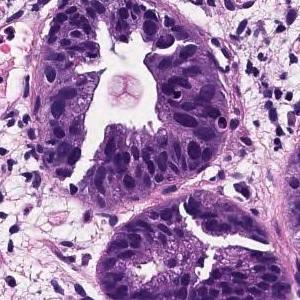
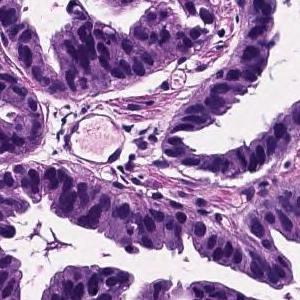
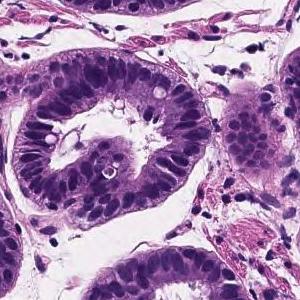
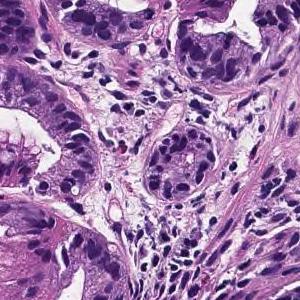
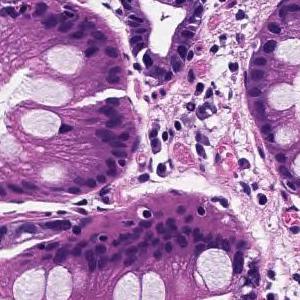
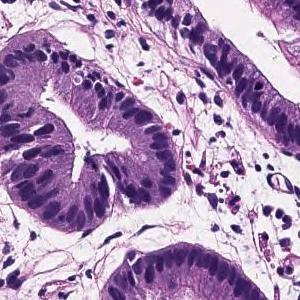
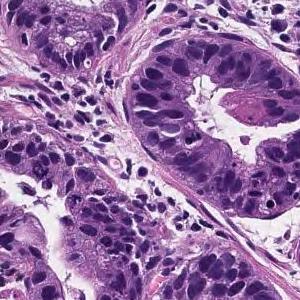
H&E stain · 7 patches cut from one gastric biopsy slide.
Pathology report for the slide these tiles were cut from. The report and the diagnosis describe the slide as a whole, so these tiles may not show every feature named and may include non-tumor tissue.
Tumor cells are large, highly columnar, large club-shaped nuclei, and are associated with chromatin aggregation. Papillary adenocarcinoma.
